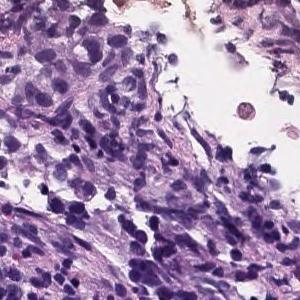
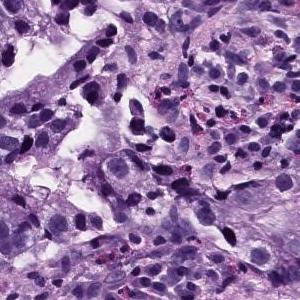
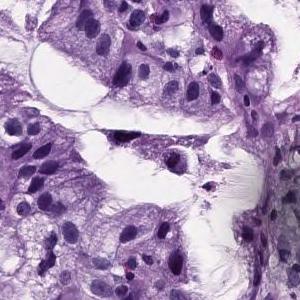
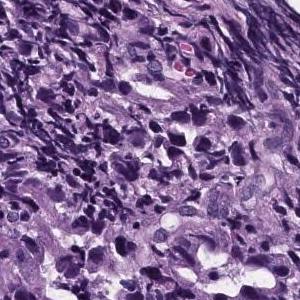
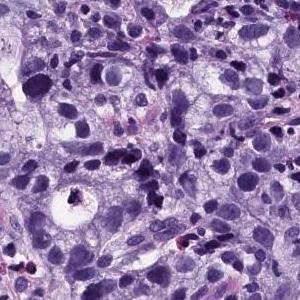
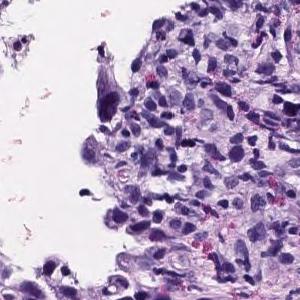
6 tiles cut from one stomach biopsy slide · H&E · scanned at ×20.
Diagnostic report for the slide these tiles come from. The report describes the whole slide, diagnosis included: not every finding it names need appear in these tiles, which may also show non-tumor tissue.
Atypical epithelial cells infiltrating and proliferating while forming solid or cord-like fused glandular cavities of different sizes is observed. moderately differentiated tubular adenocarcinoma, poorly differentiated adenocarcinoma.
Classified as moderately to poorly differentiated adenocarcinoma.
